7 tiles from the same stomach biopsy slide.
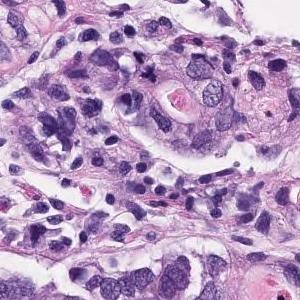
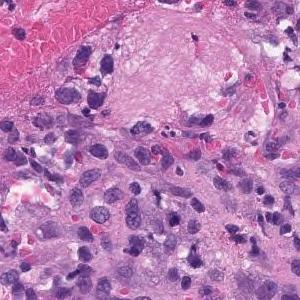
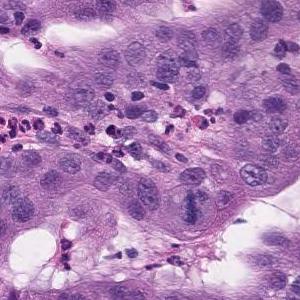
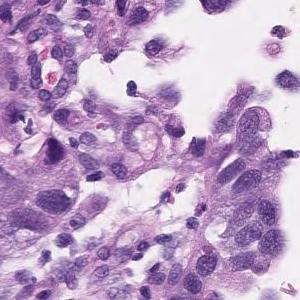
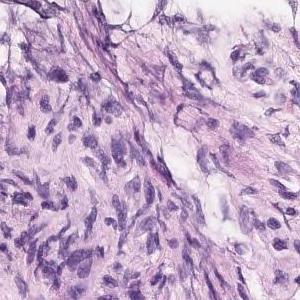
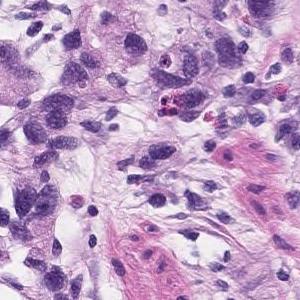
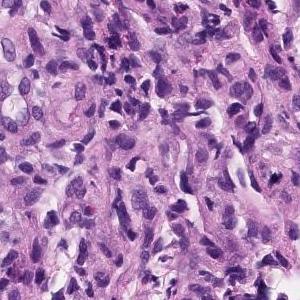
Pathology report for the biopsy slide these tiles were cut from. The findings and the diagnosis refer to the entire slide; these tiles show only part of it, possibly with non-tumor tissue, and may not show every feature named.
Group 5, Adenocarcinoma. Moderately to poorly differentiated adenocarcinoma
